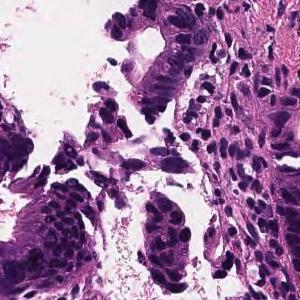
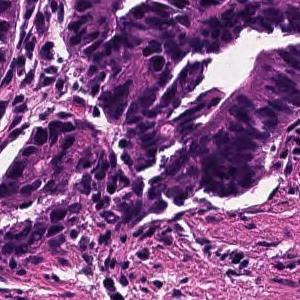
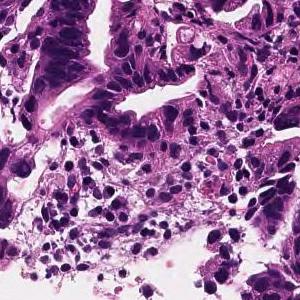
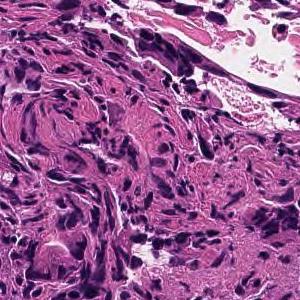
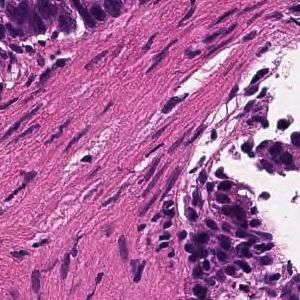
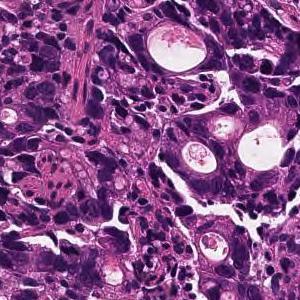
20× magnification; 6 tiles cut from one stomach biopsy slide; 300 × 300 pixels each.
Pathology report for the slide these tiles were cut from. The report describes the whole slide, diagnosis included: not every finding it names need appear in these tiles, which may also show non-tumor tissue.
In the superficial epithelium, tumor tissue that invades by forming medium-sized to small, irregular ducts is observed. moderately differentiated tubular adenocarcinoma.
